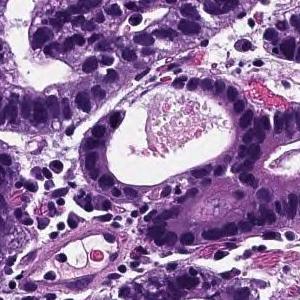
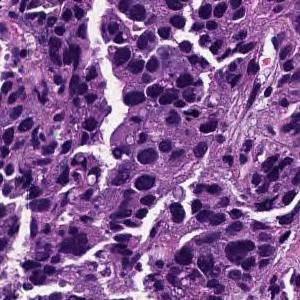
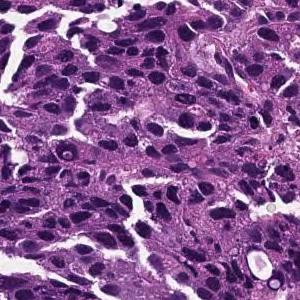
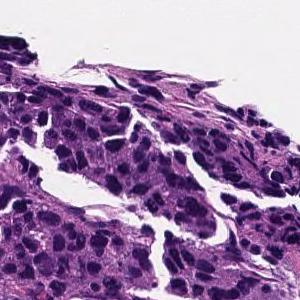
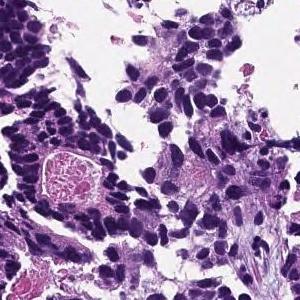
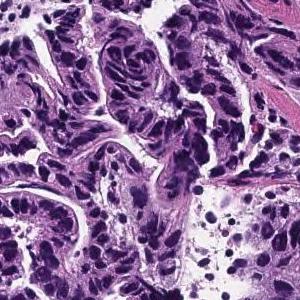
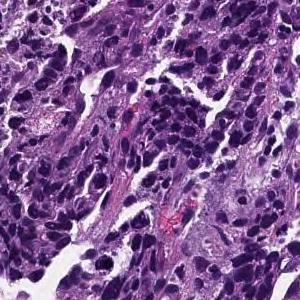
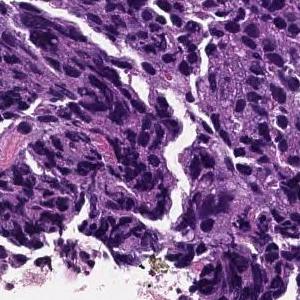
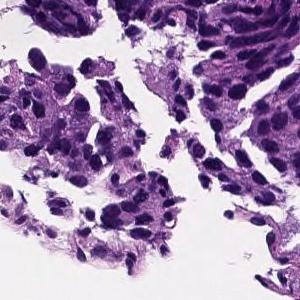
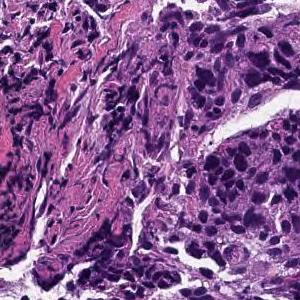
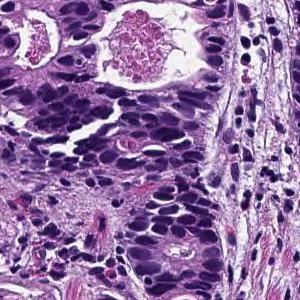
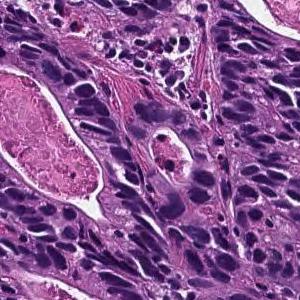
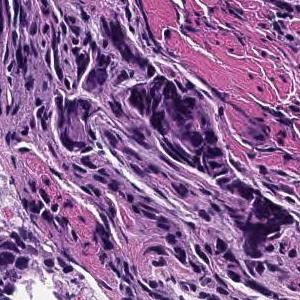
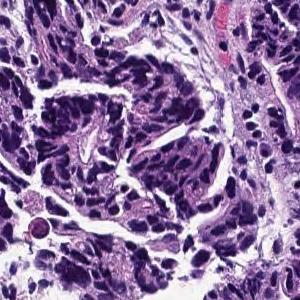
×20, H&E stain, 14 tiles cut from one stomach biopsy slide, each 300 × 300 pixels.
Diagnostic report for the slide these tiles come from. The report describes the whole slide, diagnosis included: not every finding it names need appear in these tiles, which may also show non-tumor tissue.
From the superficial epithelium to the muscularis mucosae, tumor tissue consisting of medium-sized and irregular glandular ducts infiltrating is observed. Well differentiated tubular adenocarcinoma
